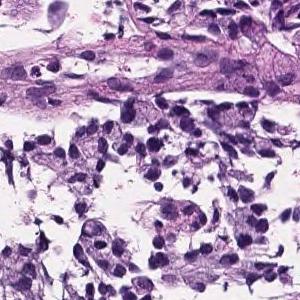
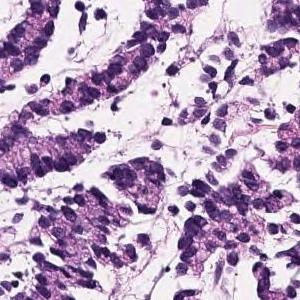
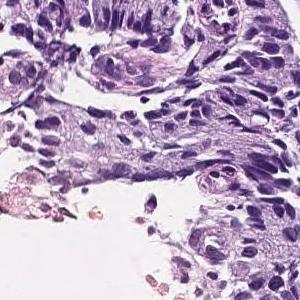
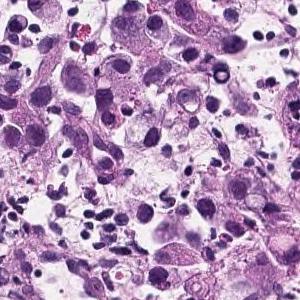
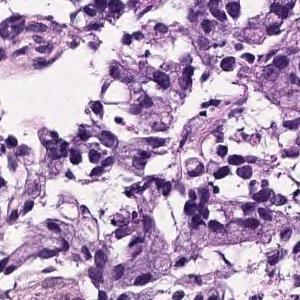
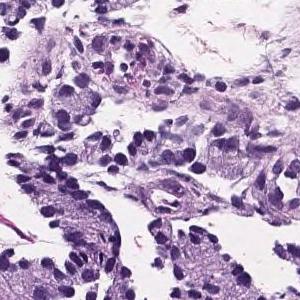
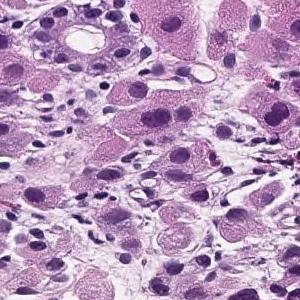
Scanned at ×20; 7 tiles cut from one stomach biopsy slide; 300 × 300 pixels each.
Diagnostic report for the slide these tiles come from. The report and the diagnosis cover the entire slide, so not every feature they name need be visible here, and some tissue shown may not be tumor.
Tumor tissue infiltrated by irregular fusion of small cord-like structures is found in the superficial epithelium. Poorly differentiated adenocarcinoma, non-solid type
"Non-solid type" is a category of the Japanese Classification of Gastric Carcinoma.
